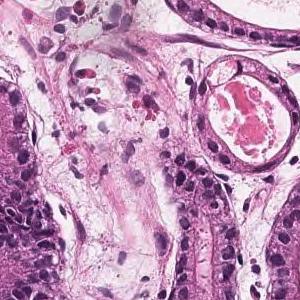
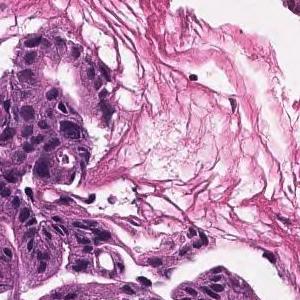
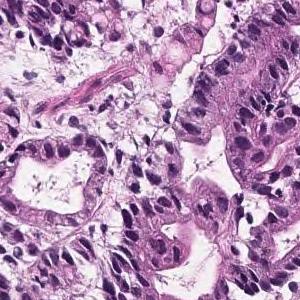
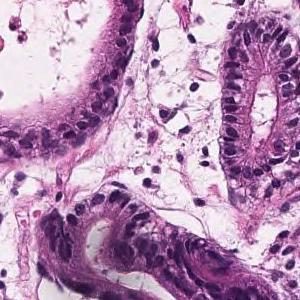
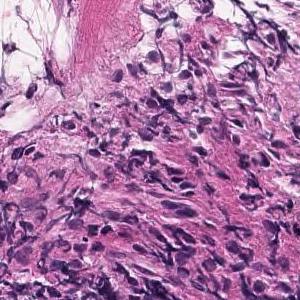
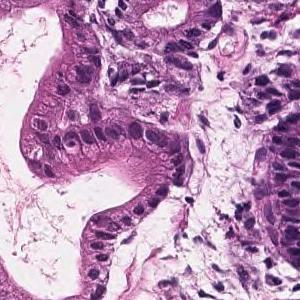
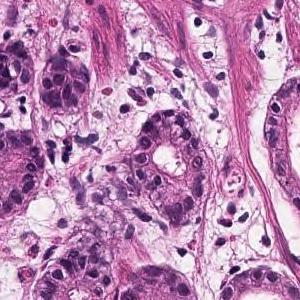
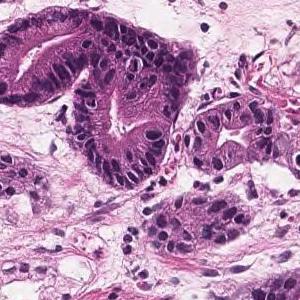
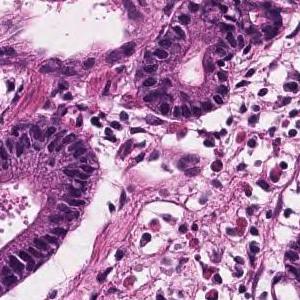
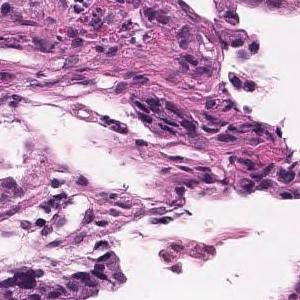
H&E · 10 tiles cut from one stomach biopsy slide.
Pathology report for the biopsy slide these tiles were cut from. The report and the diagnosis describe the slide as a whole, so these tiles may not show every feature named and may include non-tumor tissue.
Tumor tissue with atypical epithelium showing irregular ductal or sieving ductal structure and proliferating is observed. Well to moderately differentiated tubular adenocarcinoma (well differentiated tubular adenocarcinoma-moderately differentiated tubular adenocarcinoma)
Subtype: Well to moderately differentiated tubular adenocarcinoma.
